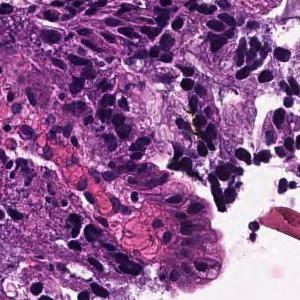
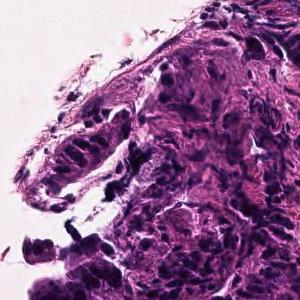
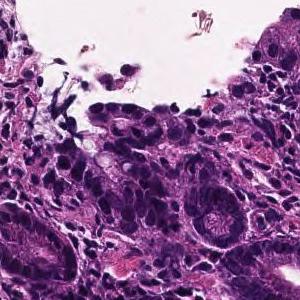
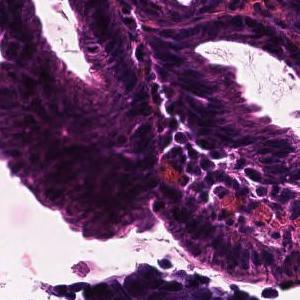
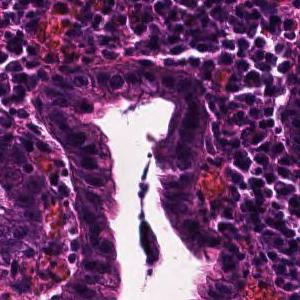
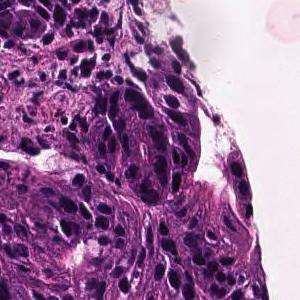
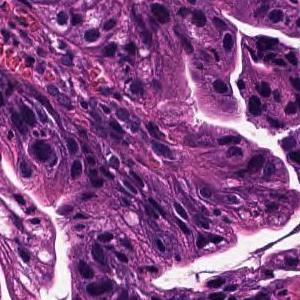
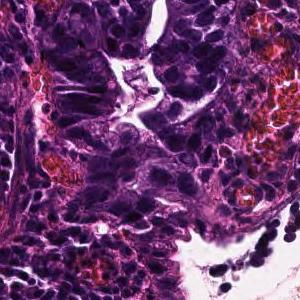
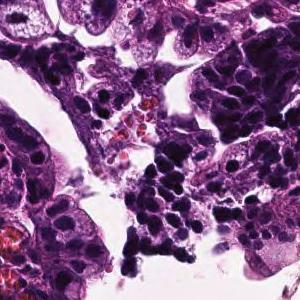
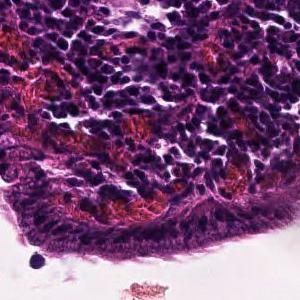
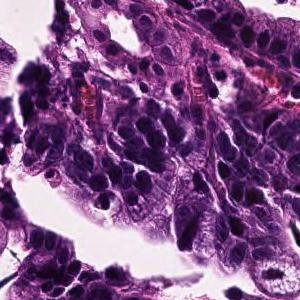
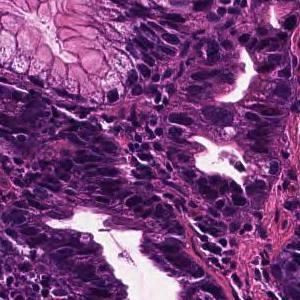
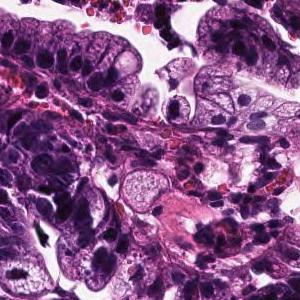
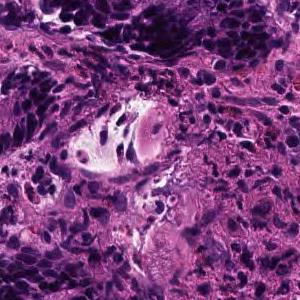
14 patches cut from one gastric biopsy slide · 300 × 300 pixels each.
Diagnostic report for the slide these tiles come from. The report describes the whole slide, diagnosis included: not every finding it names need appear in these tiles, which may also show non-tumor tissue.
In the superficial epithelium, tumor tissue that invades by forming medium-sized to small, irregular ducts is observed. moderately differentiated tubular adenocarcinoma.
